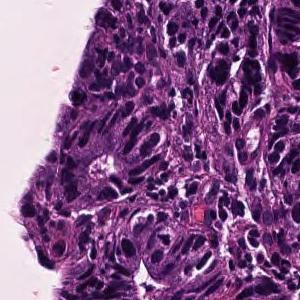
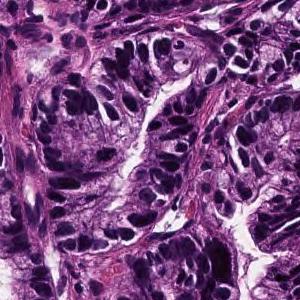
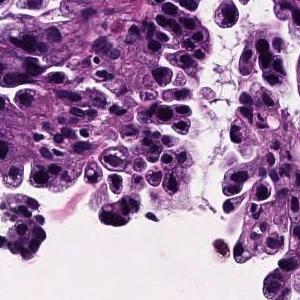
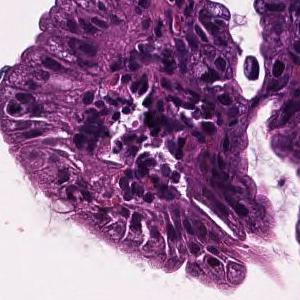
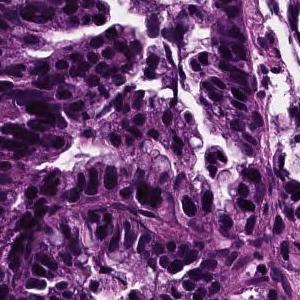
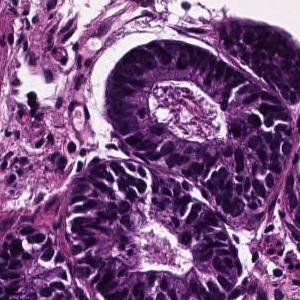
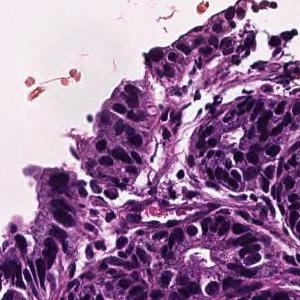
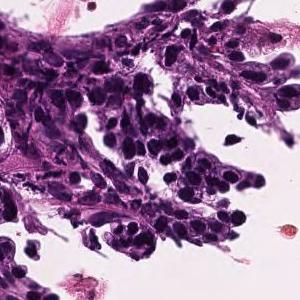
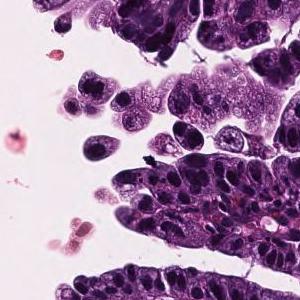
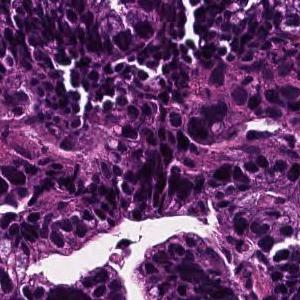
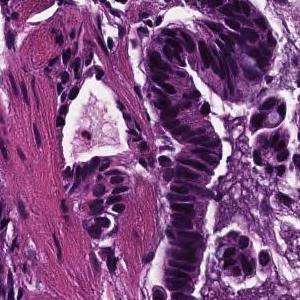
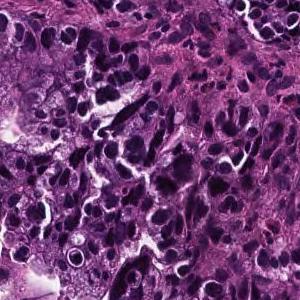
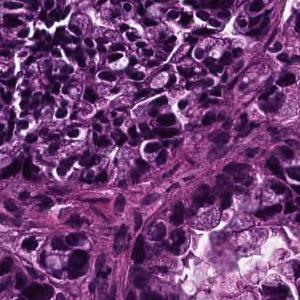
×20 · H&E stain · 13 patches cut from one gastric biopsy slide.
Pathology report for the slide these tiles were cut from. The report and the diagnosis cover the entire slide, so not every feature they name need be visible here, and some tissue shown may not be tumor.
In the superficial epithelium, tumor tissue that invades by forming medium-sized to small, irregular ducts is observed. Well differentiated tubular adenocarcinoma.
